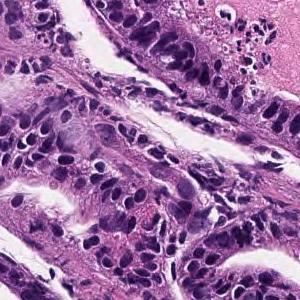
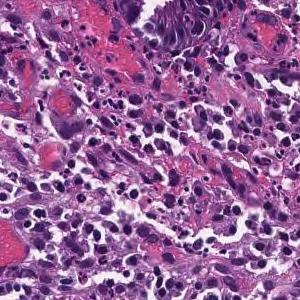
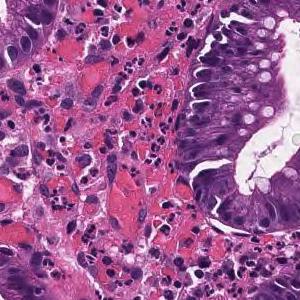
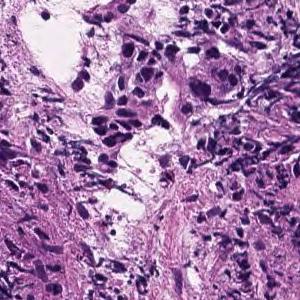
4 tiles cut from one stomach biopsy slide; 300×300 px each; ×20; H&E stain.
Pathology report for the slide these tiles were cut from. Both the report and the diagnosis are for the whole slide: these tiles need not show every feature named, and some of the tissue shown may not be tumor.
On the superficial epithelium, tumor tissue consisting of large, irregular glandular ducts partially fused and infiltrated is observed. Well to moderately differentiated tubular adenocarcinoma (well differentiated tubular adenocarcinoma, moderately differentiated tubular adenocarcinoma)
Subtype: Well to moderately differentiated tubular adenocarcinoma.
